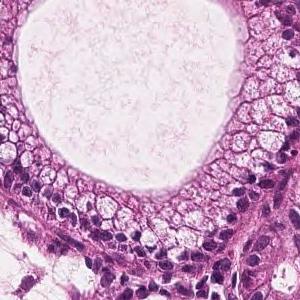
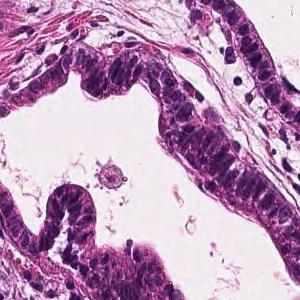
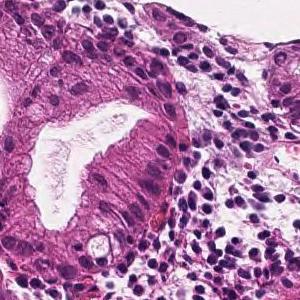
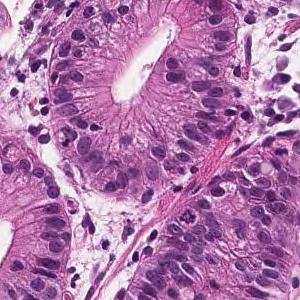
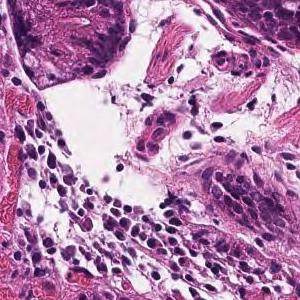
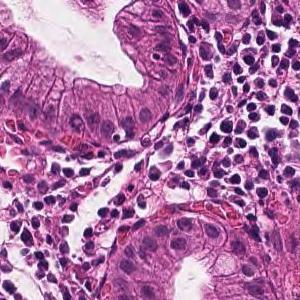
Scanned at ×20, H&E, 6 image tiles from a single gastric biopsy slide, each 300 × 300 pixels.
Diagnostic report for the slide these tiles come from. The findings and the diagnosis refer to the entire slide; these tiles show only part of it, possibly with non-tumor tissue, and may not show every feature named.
In the superficial epithelium, tumor tissue that invades by forming medium-sized to small, irregular ducts is observed. Well differentiated tubular adenocarcinoma.
